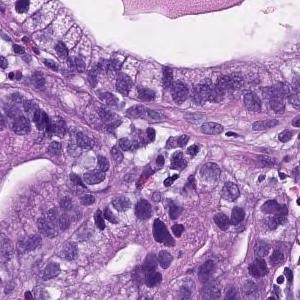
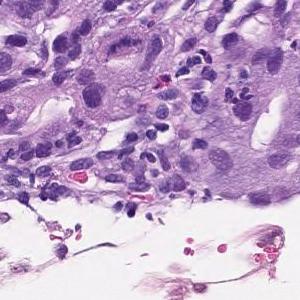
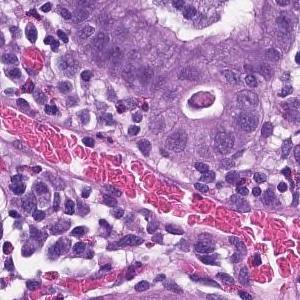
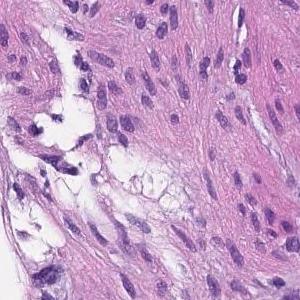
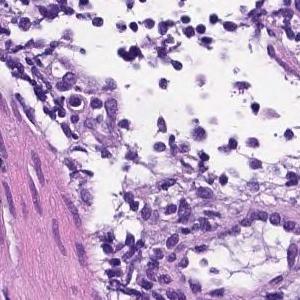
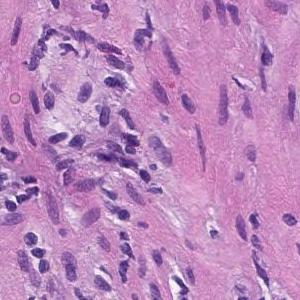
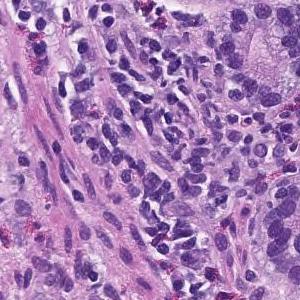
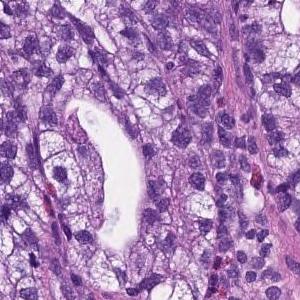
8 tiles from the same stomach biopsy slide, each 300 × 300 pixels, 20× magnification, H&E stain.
Pathology report for the biopsy slide these tiles were cut from. The findings and the diagnosis refer to the entire slide; these tiles show only part of it, possibly with non-tumor tissue, and may not show every feature named.
From the superficial epithelium to the muscularis mucosae, tumor tissue consisting of medium-sized and irregular glandular ducts infiltrating is observed. Well differentiated tubular adenocarcinoma
